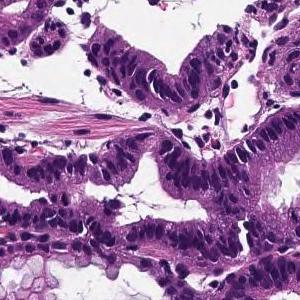
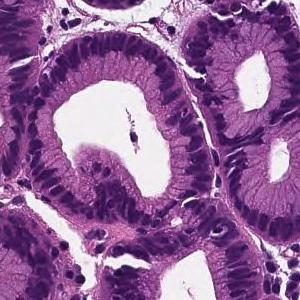
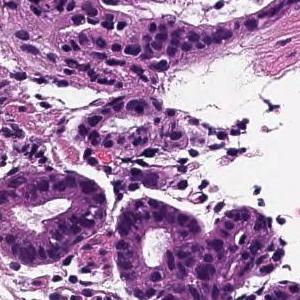
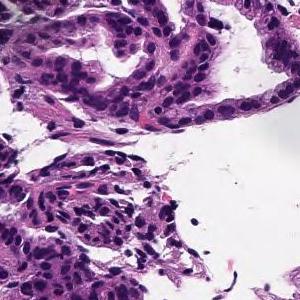
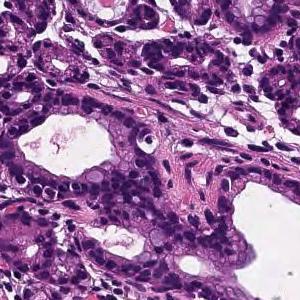
5 tiles cut from one stomach biopsy slide · 300 × 300 pixels each · 20× magnification · hematoxylin and eosin stain.
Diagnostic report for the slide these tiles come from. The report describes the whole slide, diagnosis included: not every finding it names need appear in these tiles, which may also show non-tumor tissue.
Cells with elliptical or atypical nuclei form dense ducts with relatively clear growth. Well differentiated tubular adenocarcinoma
